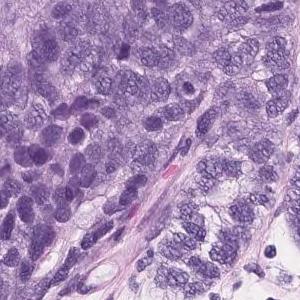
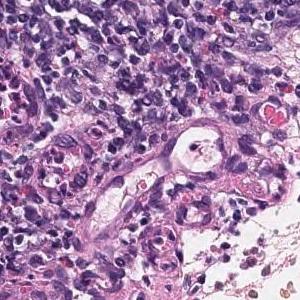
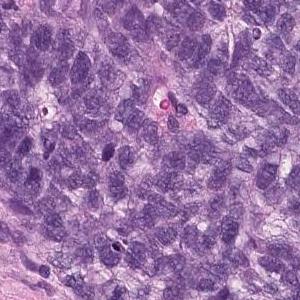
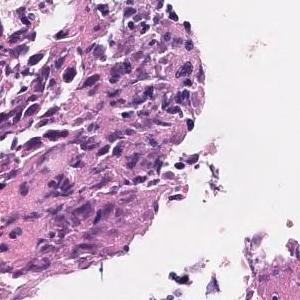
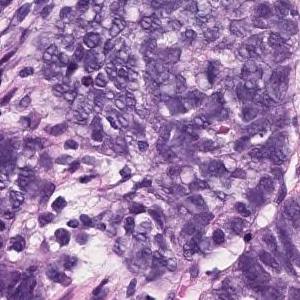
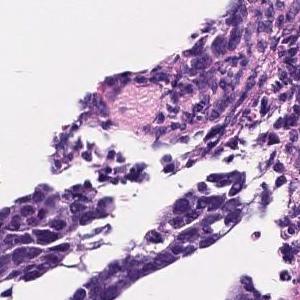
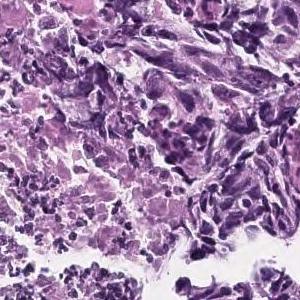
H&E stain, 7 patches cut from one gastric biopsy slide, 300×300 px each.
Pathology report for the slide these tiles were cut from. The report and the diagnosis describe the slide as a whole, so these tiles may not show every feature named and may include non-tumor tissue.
Epithelial cells with swollen nuclei with atypia invasively proliferating while forming vesicles is observed. Poorly differentiated adenocarcinoma
Tumor subtype: poorly differentiated adenocarcinoma, solid type, a category of the Japanese Classification of Gastric Carcinoma; in the WHO 2019 classification it is tubular adenocarcinoma, poorly differentiated.
